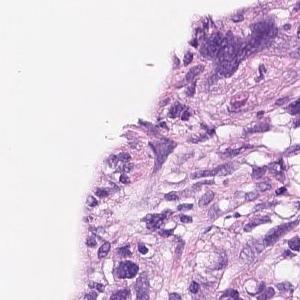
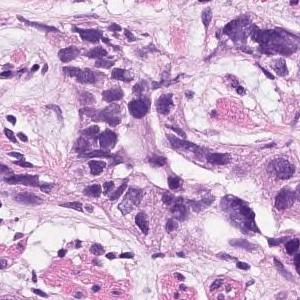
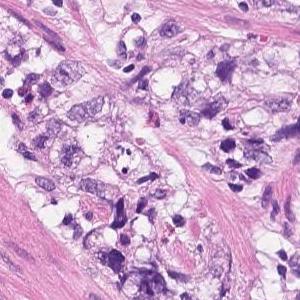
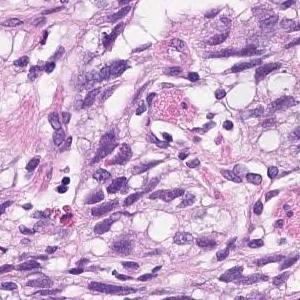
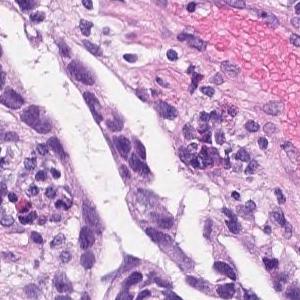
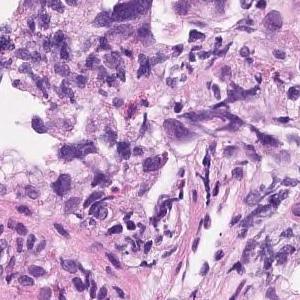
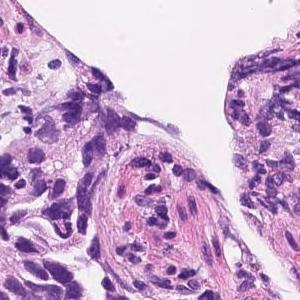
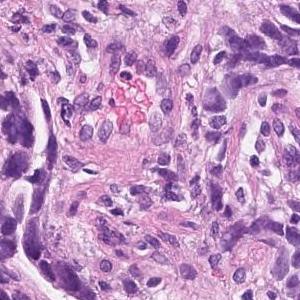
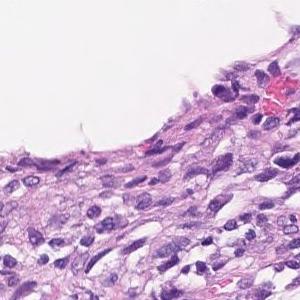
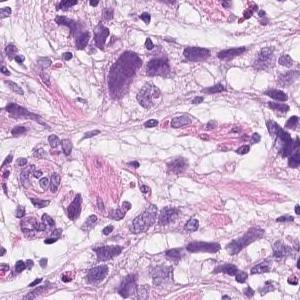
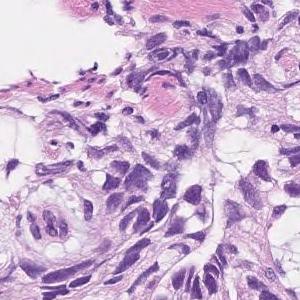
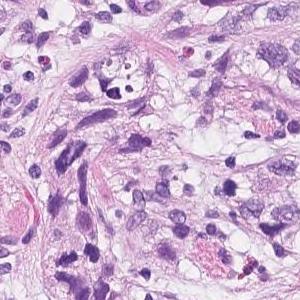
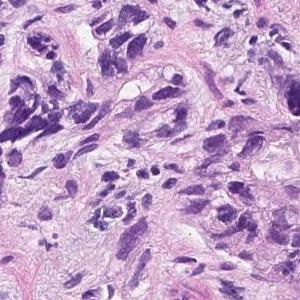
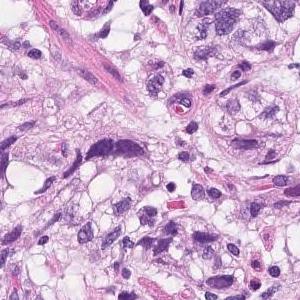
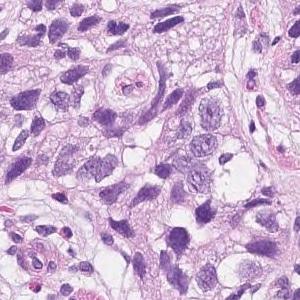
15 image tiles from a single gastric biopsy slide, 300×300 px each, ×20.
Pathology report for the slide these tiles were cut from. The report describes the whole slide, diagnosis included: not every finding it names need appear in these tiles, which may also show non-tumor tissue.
In the superficial epithelium, tumor tissue that invades by forming medium-sized to small, irregular ducts is observed. Moderately differentiated adenocarcinoma.
Subtype: Moderately differentiated tubular adenocarcinoma.
